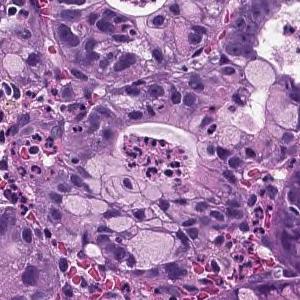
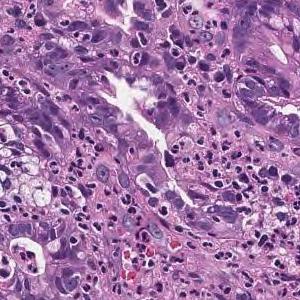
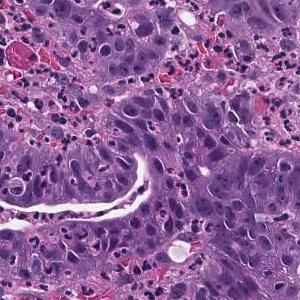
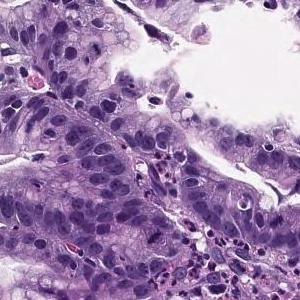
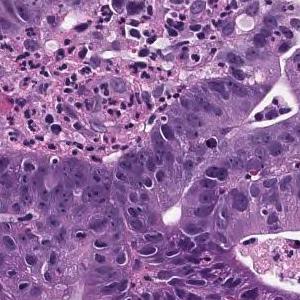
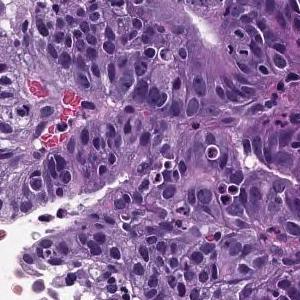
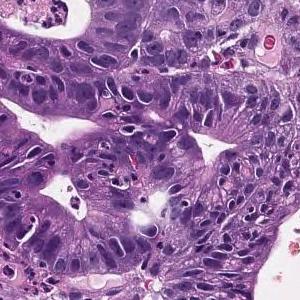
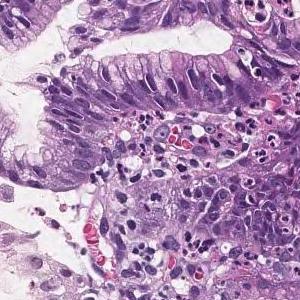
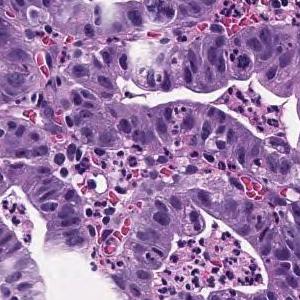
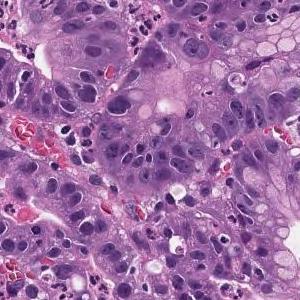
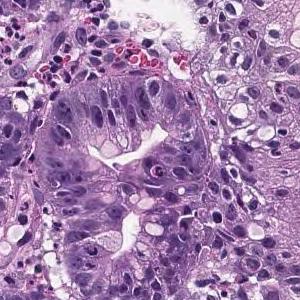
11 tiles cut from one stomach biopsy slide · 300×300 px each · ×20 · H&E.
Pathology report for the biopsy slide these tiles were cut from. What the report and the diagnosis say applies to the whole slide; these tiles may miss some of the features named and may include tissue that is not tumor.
In the superficial epithelium, tumor tissue that invades by forming medium-sized to small, irregular ducts is observed. Well differentiated tubular adenocarcinoma.
